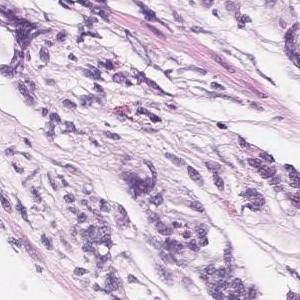
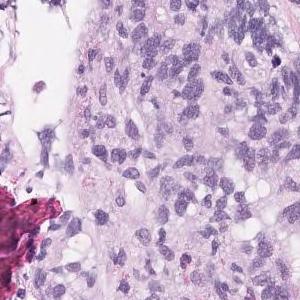
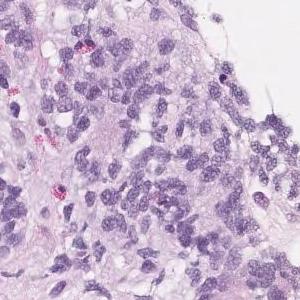
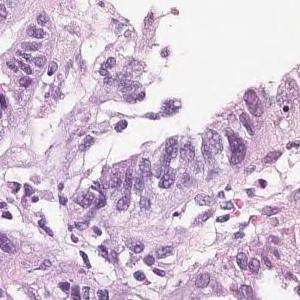
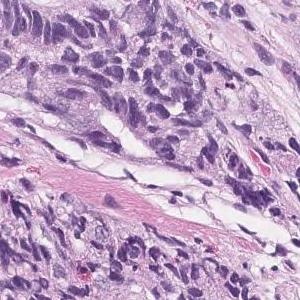
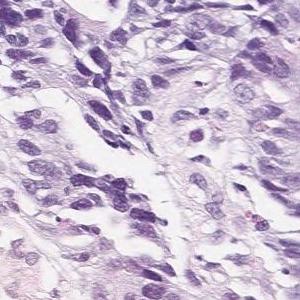
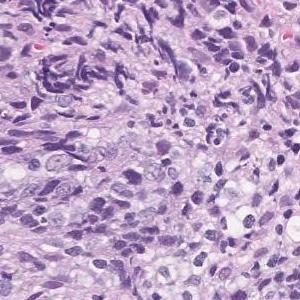
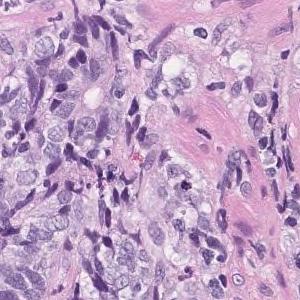
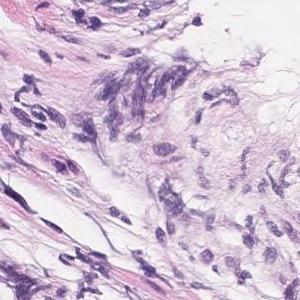
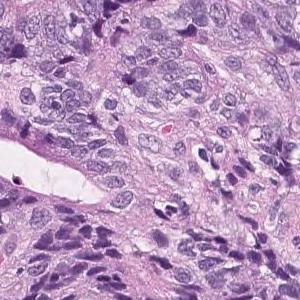
10 tiles from the same stomach biopsy slide; 300 × 300 pixels each.
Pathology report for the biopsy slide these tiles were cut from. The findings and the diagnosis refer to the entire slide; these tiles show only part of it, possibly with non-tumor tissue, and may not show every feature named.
Highly columnar epithelium with disordered nuclear localization proliferates showing fusion ductal construction. moderately differentiated tubular adenocarcinoma
